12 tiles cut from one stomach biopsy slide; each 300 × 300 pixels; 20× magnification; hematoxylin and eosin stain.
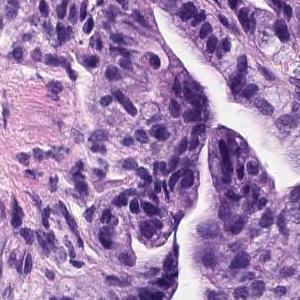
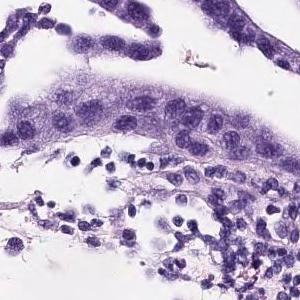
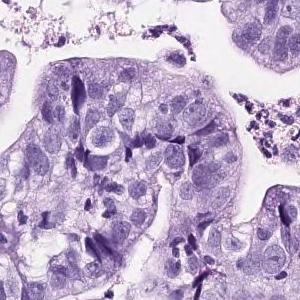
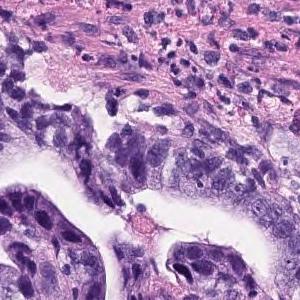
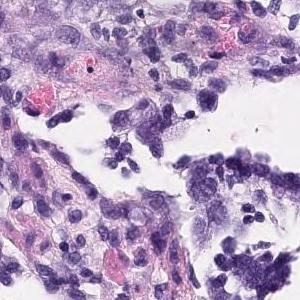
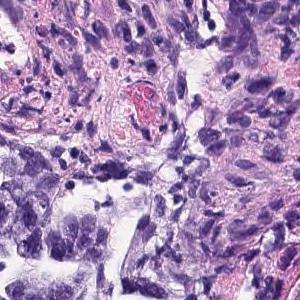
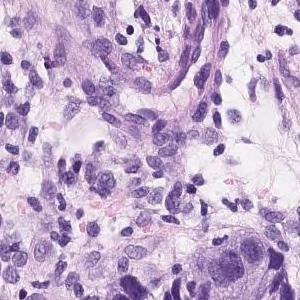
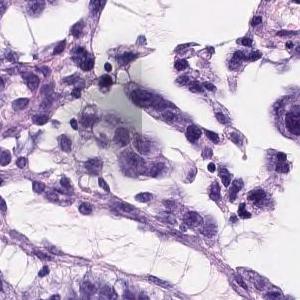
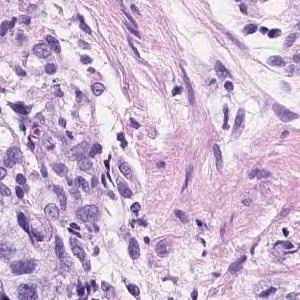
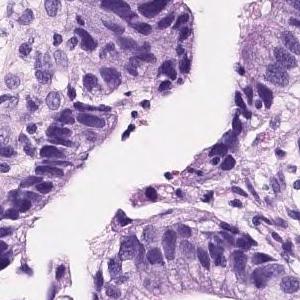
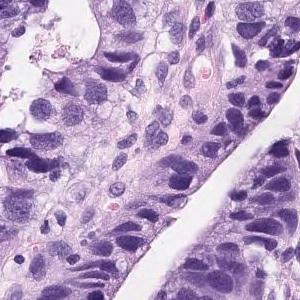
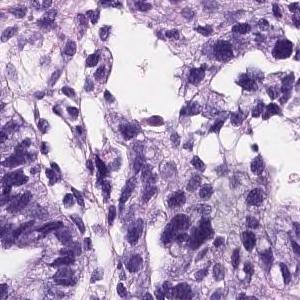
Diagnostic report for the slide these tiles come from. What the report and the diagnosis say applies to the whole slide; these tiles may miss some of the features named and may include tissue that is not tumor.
On the superficial epithelium, tumor tissue consisting of medium to small irregular tubules partially fused and proliferated is observed. moderately differentiated tubular adenocarcinoma
